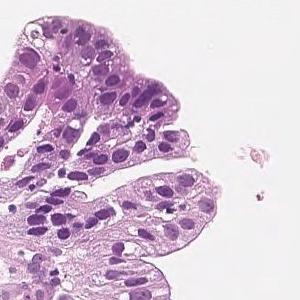
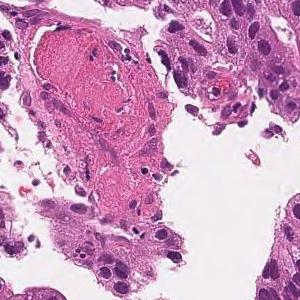
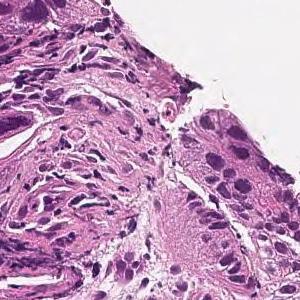
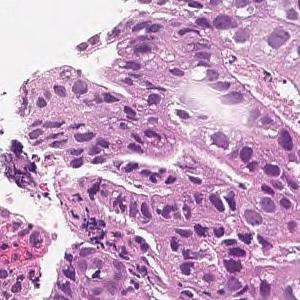
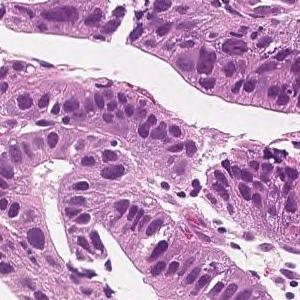
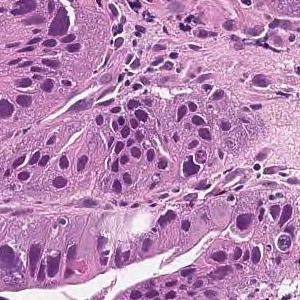
H&E stain; 20× magnification; 6 patches cut from one gastric biopsy slide.
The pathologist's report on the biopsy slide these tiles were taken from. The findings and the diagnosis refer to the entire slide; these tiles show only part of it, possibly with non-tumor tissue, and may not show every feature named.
In the superficial epithelium, tumor tissue that invades by forming medium-sized to small, irregular ducts is observed. moderately differentiated tubular adenocarcinoma.
